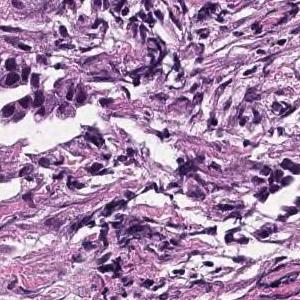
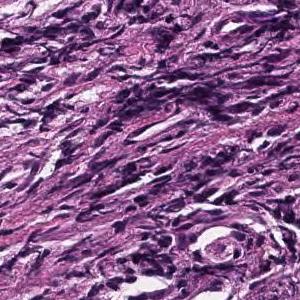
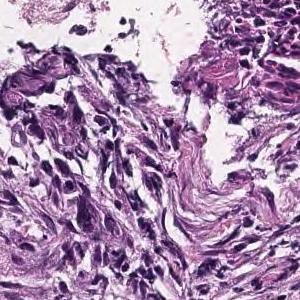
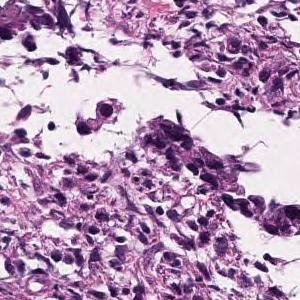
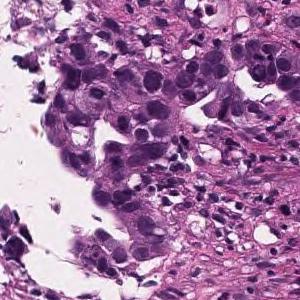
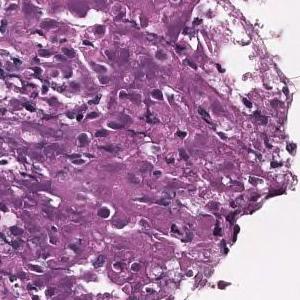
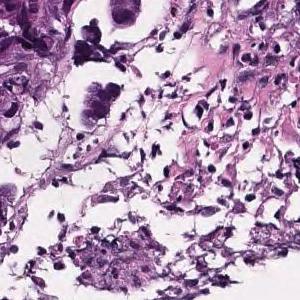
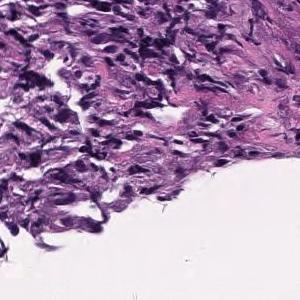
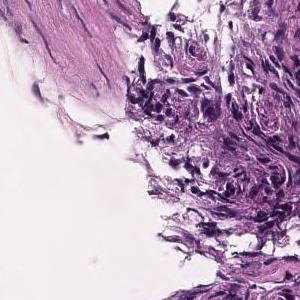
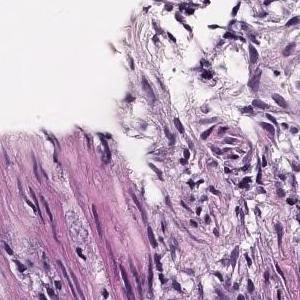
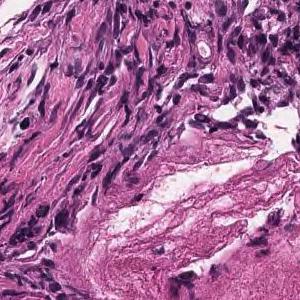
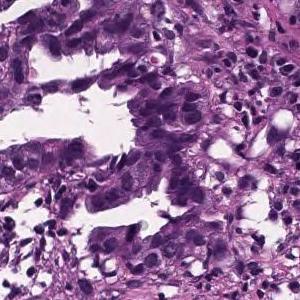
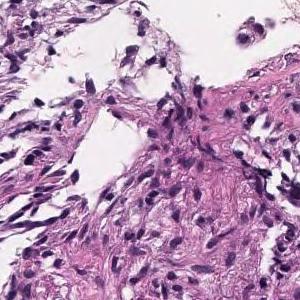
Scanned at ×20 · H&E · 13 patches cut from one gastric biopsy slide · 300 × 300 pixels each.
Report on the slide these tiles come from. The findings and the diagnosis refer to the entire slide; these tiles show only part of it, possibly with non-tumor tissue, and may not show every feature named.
In the superficial epithelium, tumor tissue that invades by forming medium-sized to small, irregular ducts is observed. moderately differentiated tubular adenocarcinoma.
